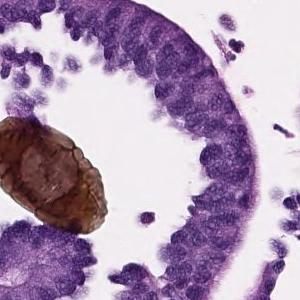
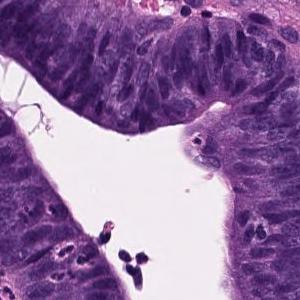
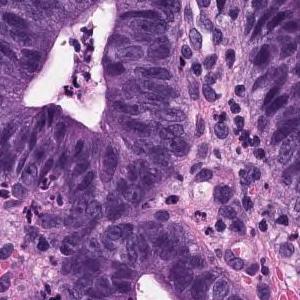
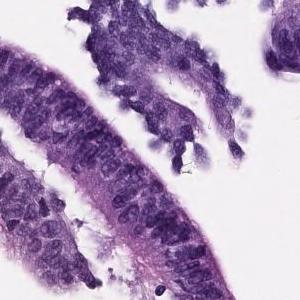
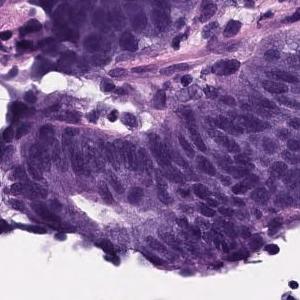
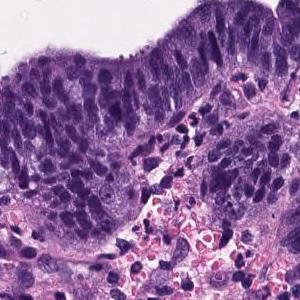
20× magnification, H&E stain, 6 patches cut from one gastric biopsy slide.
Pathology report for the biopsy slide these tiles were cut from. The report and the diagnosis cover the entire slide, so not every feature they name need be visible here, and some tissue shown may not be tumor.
Papillo-tubular growth of atypical tubules with nuclear swelling is observed. Well differentiated tubular adenocarcinoma
